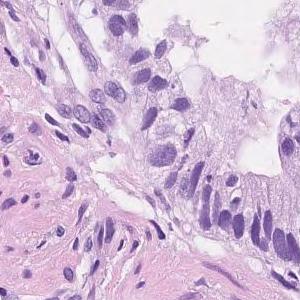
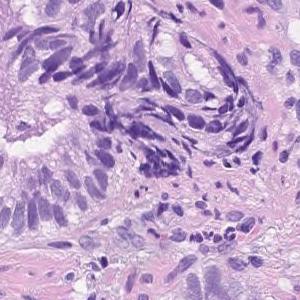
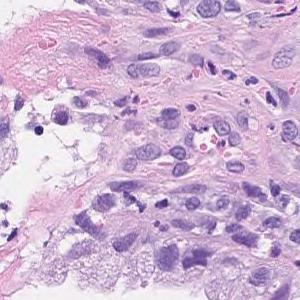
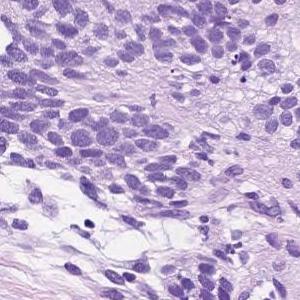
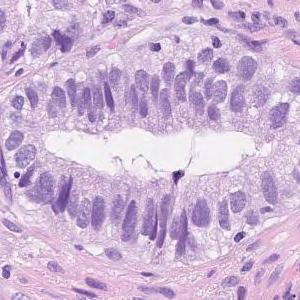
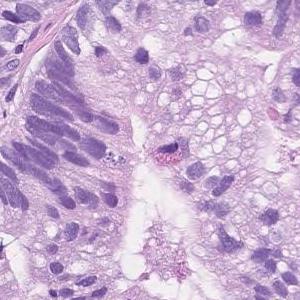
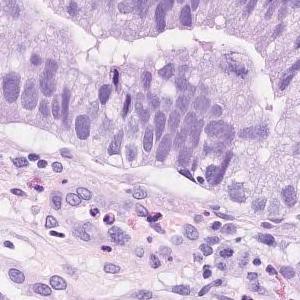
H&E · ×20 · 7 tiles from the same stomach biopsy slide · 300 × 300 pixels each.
Report on the slide these tiles come from. The findings and the diagnosis refer to the entire slide; these tiles show only part of it, possibly with non-tumor tissue, and may not show every feature named.
Atypical l cells with atypical nuclei forming solid or diffuse vesicles or small irregular atypical ducts and growing in a complex manner. moderately differentiated tubular adenocarcinoma
